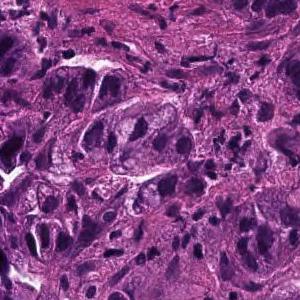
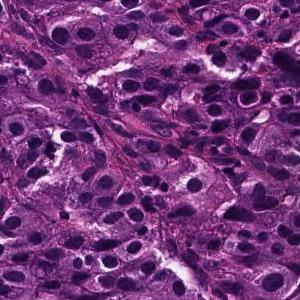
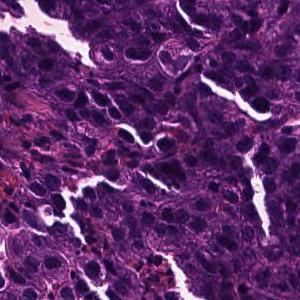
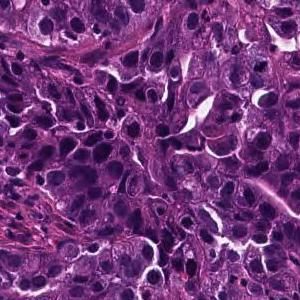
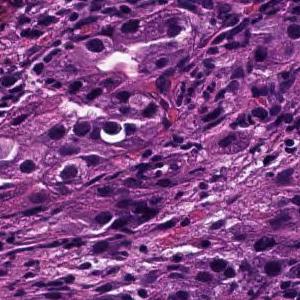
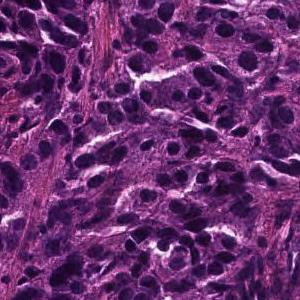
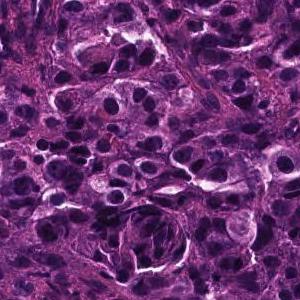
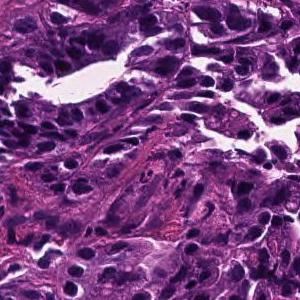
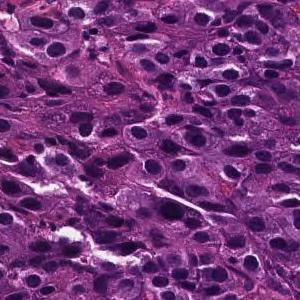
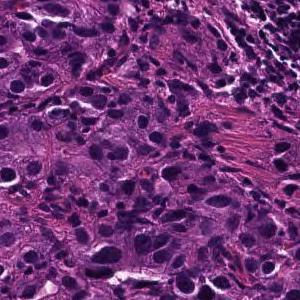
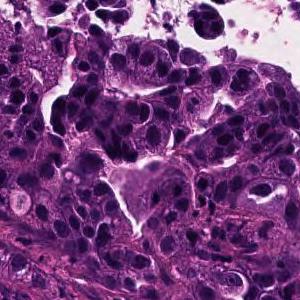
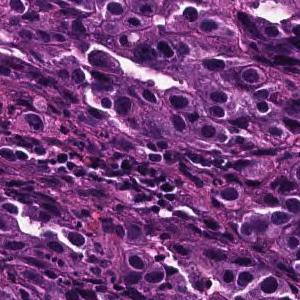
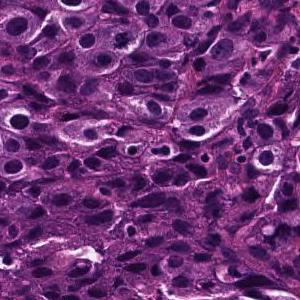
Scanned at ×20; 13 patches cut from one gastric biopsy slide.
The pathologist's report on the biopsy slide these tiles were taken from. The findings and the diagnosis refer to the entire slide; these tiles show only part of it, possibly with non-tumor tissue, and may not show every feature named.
Tumor tissue consisting of medium-sized, cord-like or irregular glandular fusion and infiltration is observed in the superficial epithelium. Poorly differentiated adenocarcinoma, non-solid type or moderately differentiated tubular adenocarcinoma
Histological subtype: Moderately to poorly differentiated adenocarcinoma.
The term "non-solid type" comes from the Japanese Classification of Gastric Carcinoma.
